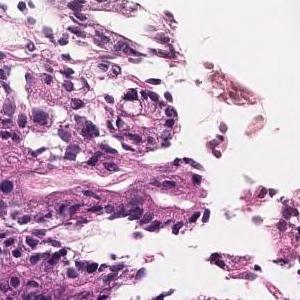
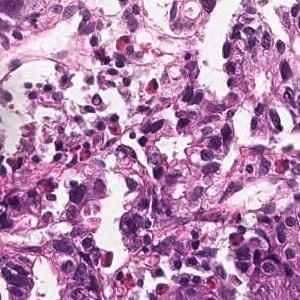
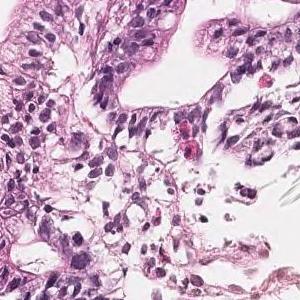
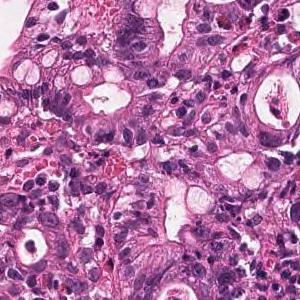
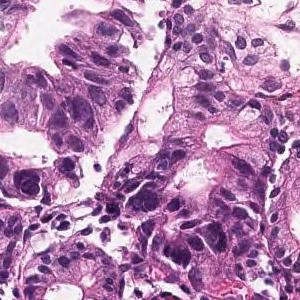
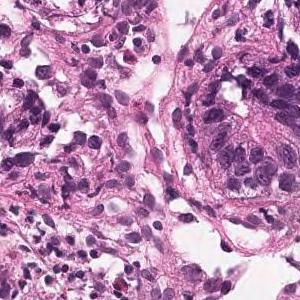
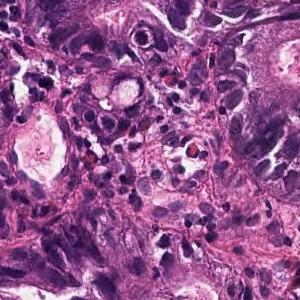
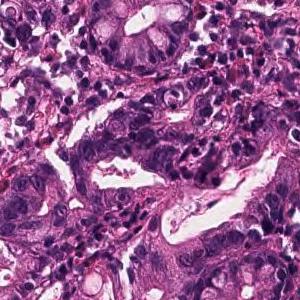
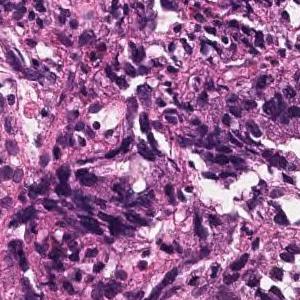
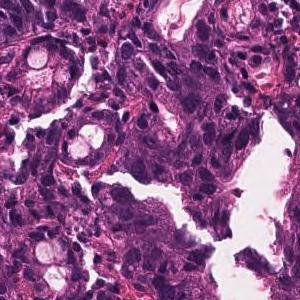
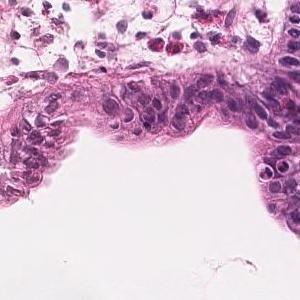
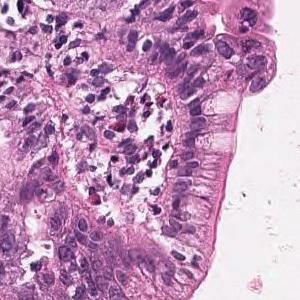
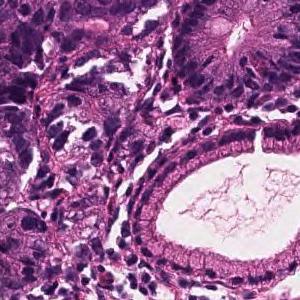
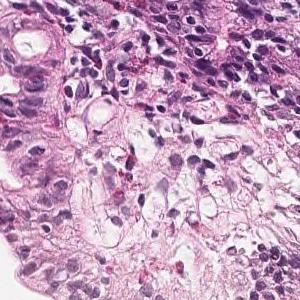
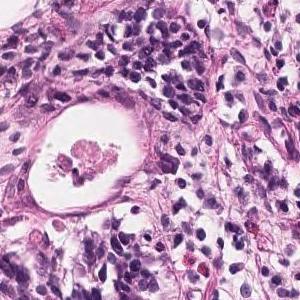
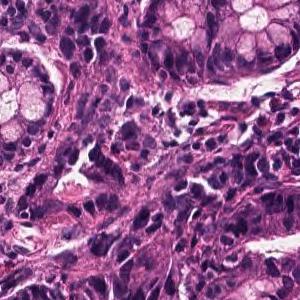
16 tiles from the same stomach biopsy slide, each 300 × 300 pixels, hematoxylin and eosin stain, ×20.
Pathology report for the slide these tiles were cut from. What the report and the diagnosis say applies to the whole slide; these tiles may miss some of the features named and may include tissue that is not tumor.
On the superficial epithelium, tumor tissue consisting of large, irregular glandular ducts partially fused and infiltrated is observed. Well to moderately differentiated tubular adenocarcinoma (well differentiated tubular adenocarcinoma, moderately differentiated tubular adenocarcinoma)
Subtype: Well to moderately differentiated tubular adenocarcinoma.
